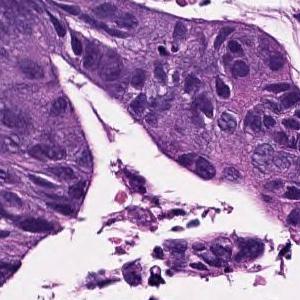
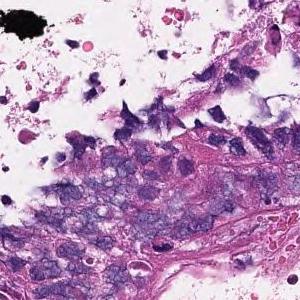
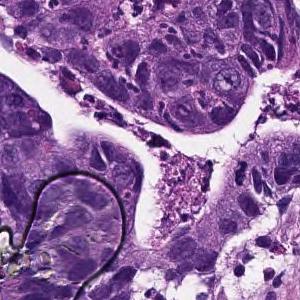
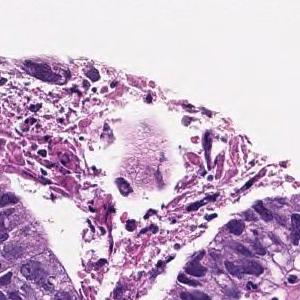
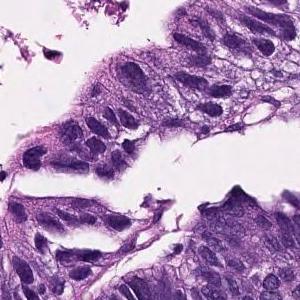
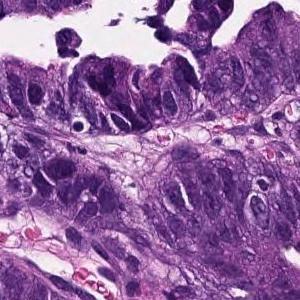
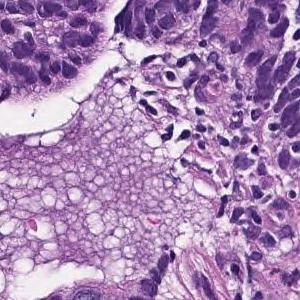
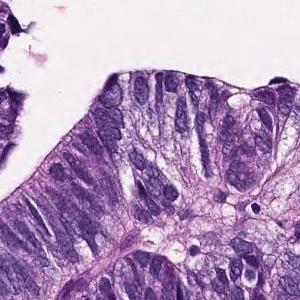
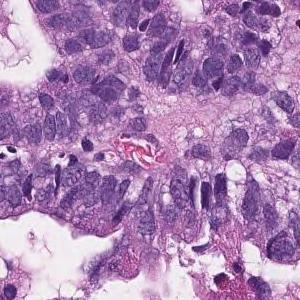
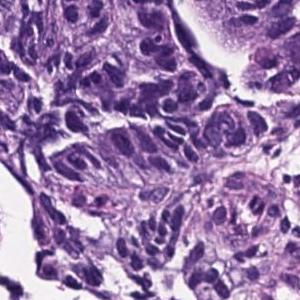
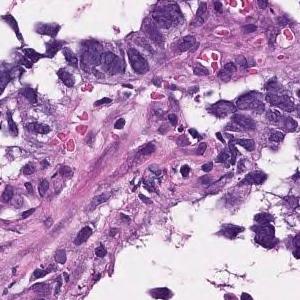
11 patches cut from one gastric biopsy slide · each 300 × 300 pixels · H&E stain · ×20.
Pathology report for the biopsy slide these tiles were cut from. The report and the diagnosis describe the slide as a whole, so these tiles may not show every feature named and may include non-tumor tissue.
In the superficial epithelium, tumor tissue that invades by forming medium-sized to small, irregular ducts is observed. moderately differentiated tubular adenocarcinoma.
